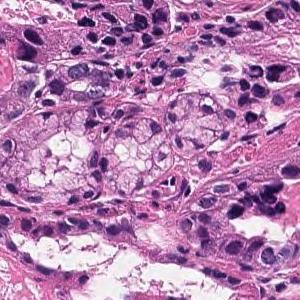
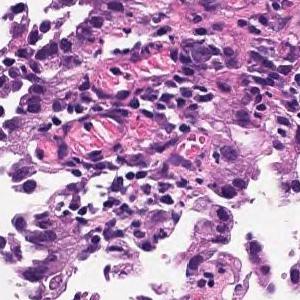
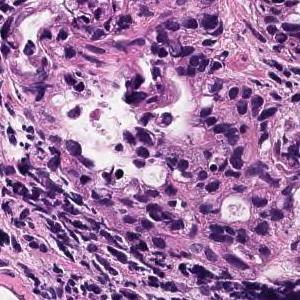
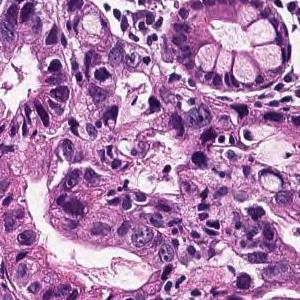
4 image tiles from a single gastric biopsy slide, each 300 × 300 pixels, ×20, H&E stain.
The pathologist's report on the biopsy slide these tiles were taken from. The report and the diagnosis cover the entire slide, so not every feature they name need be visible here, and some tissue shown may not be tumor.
In the superficial epithelium, tumor tissue that invades by forming medium-sized to small, irregular ducts is observed. Moderately differentiated adenocarcinoma.
Histologic type: Moderately differentiated tubular adenocarcinoma.
